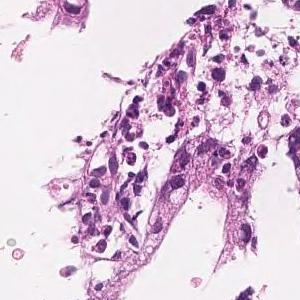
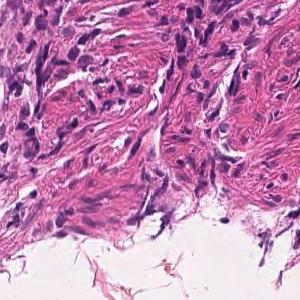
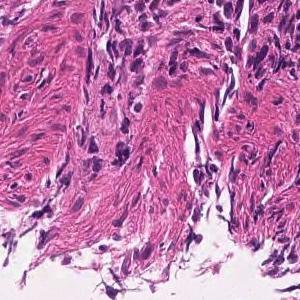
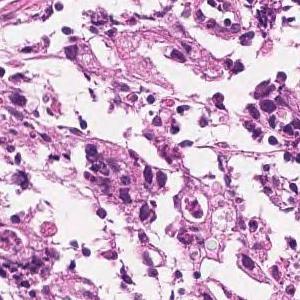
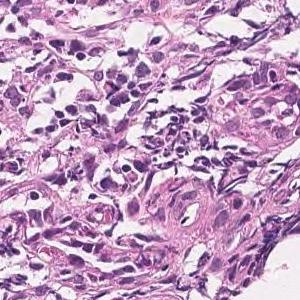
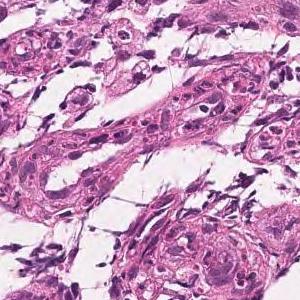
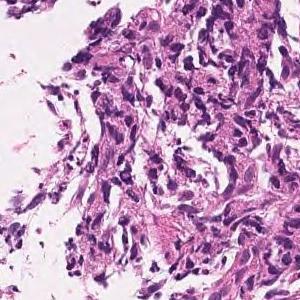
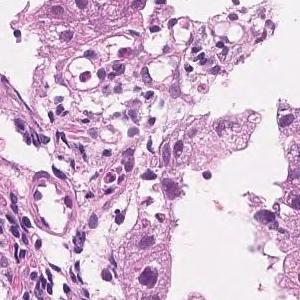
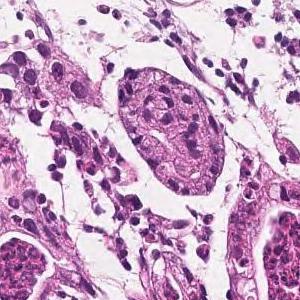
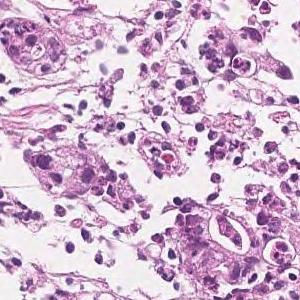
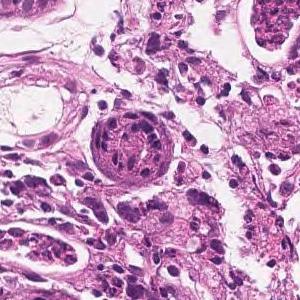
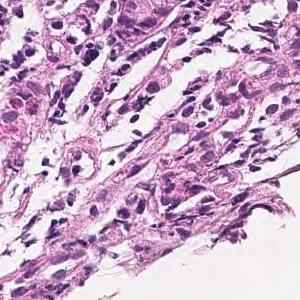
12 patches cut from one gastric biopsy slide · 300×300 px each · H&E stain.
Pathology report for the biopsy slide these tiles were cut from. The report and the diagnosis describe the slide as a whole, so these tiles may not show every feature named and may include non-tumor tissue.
In the superficial epithelium, medium to small, irregular glandular ducts are formed, and in some parts, the glandular ducts are fused, and in other parts, small cord-like infiltrating tumor tissue is observed. Moderately to poorly differentiated adenocarcinoma.
